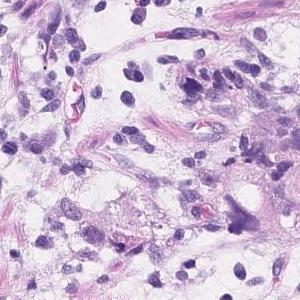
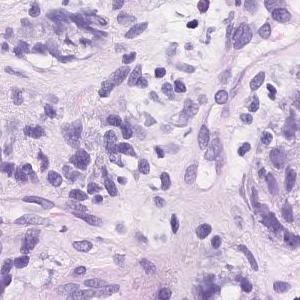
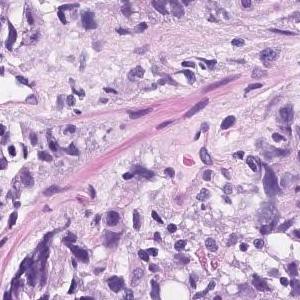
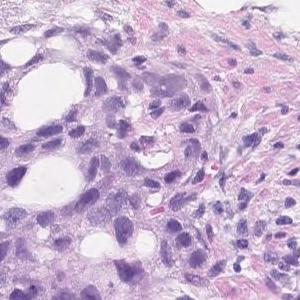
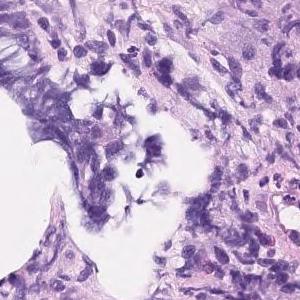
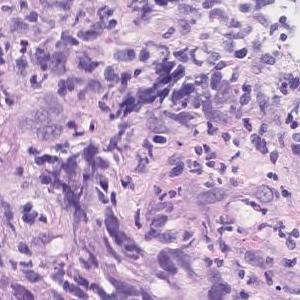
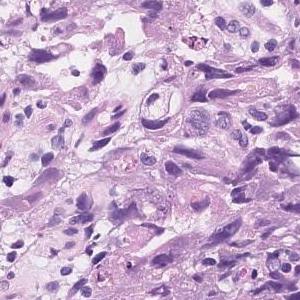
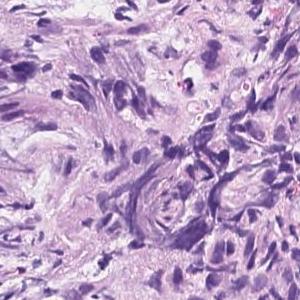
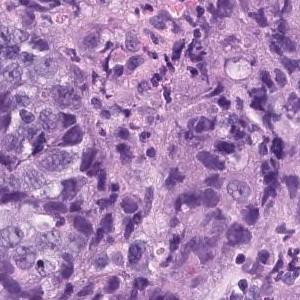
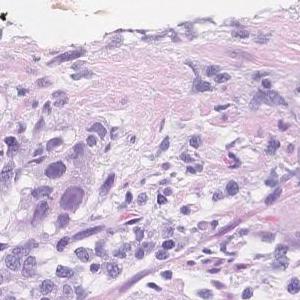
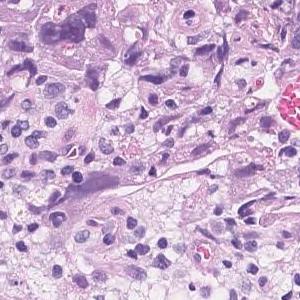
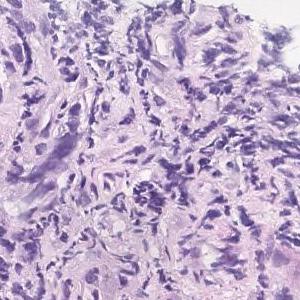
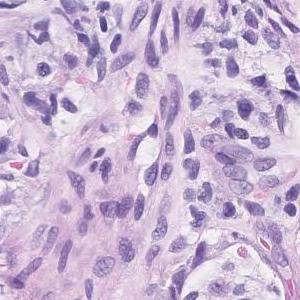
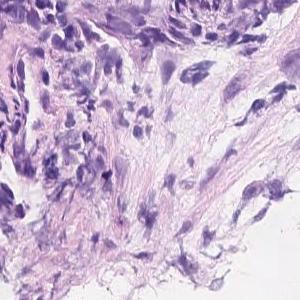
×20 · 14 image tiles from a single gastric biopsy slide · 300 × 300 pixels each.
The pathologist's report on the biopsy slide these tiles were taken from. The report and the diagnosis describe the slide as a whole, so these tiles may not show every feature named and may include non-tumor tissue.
Atypical epithelial cells infiltrating and proliferating diffusely or while forming vesicles is observed. Poorly differentiated adenocarcinoma (poorly differentiated adenocarcinoma, solid type moderately differentiated tubular adenocarcinoma)
Labeled in the dataset as poorly differentiated adenocarcinoma, solid type (Japanese Classification of Gastric Carcinoma). The WHO 2019 equivalent is tubular adenocarcinoma, poorly differentiated.
